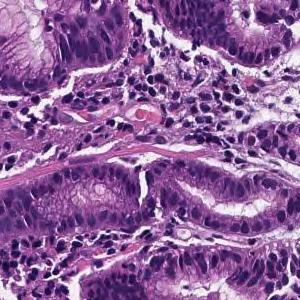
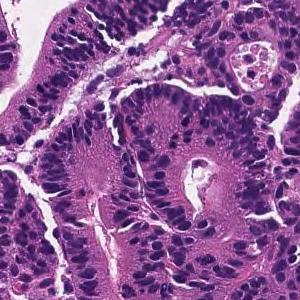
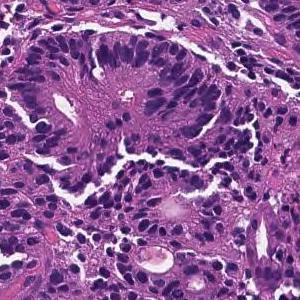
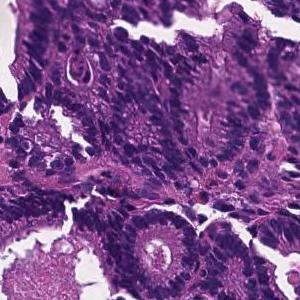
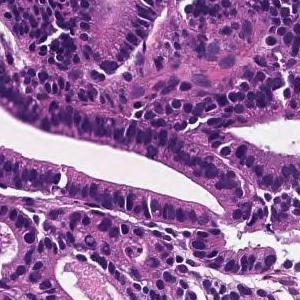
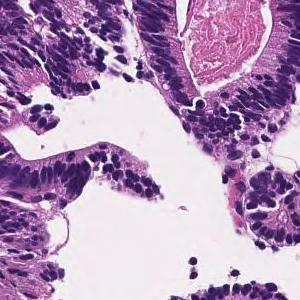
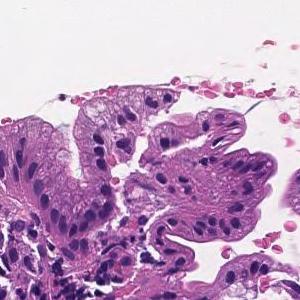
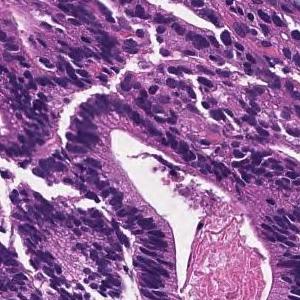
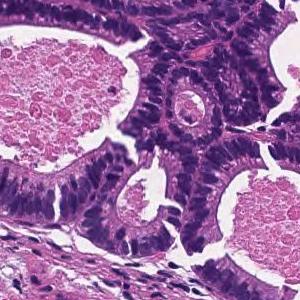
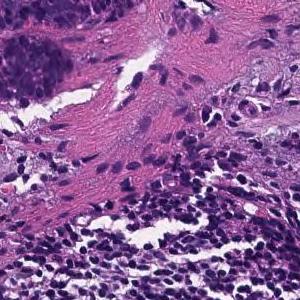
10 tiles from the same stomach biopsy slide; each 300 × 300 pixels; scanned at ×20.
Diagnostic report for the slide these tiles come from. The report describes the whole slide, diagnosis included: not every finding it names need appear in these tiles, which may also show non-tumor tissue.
From the superficial epithelium to the muscularis mucosae, tumor tissue consisting of medium-sized and irregular glandular ducts infiltrating is observed. Well differentiated tubular adenocarcinoma
